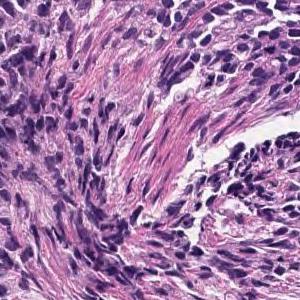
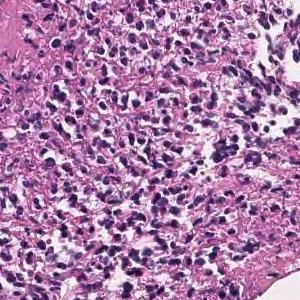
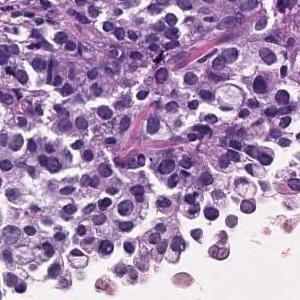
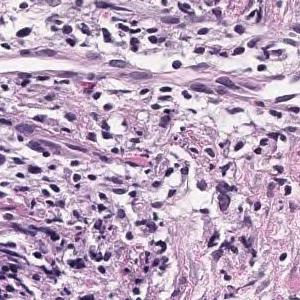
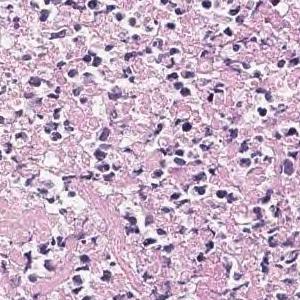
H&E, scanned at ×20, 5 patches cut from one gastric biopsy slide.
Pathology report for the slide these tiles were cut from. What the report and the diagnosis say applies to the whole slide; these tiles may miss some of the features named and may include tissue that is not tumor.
The superficial epithelium shows a large sheet-like shape, and some tumor tissue infiltrates with small irregular ducts. Poorly differentiated adenocarcinoma, solid-type
Histological subtype: Poorly differentiated adenocarcinoma, solid type (Japanese Classification of Gastric Carcinoma). The WHO 2019 equivalent is tubular adenocarcinoma, poorly differentiated.
